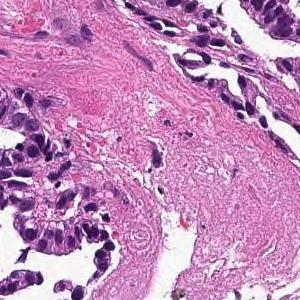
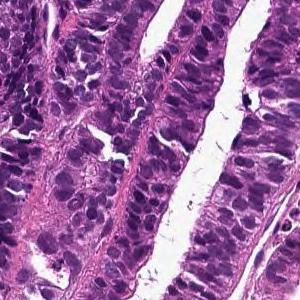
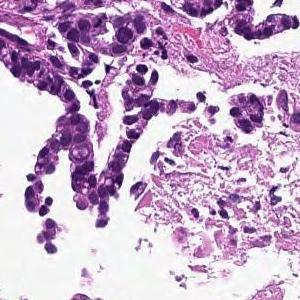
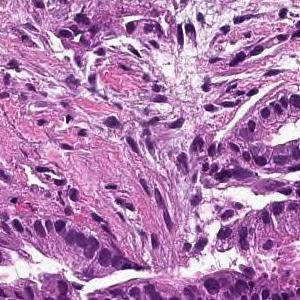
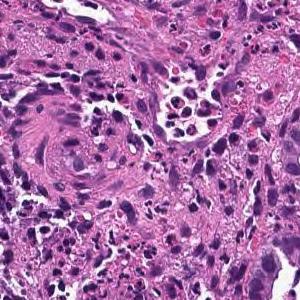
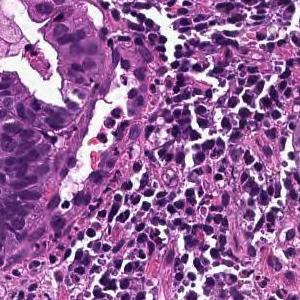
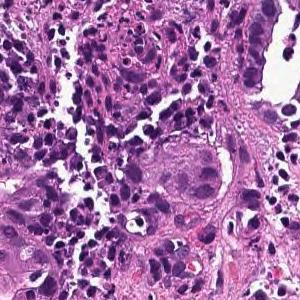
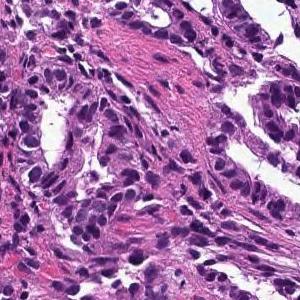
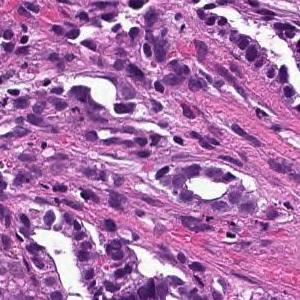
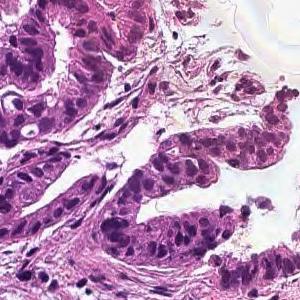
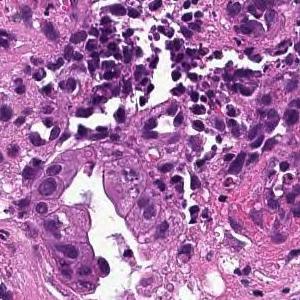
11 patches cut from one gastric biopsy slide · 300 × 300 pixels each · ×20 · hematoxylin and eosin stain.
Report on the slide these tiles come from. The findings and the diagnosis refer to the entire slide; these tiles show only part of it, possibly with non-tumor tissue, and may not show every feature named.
Tumor cells are large, highly columnar, large club-shaped nuclei, and are associated with chromatin aggregation. Papillary adenocarcinoma.
